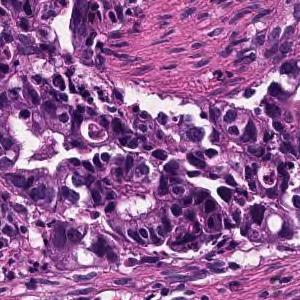
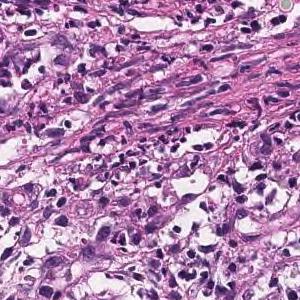
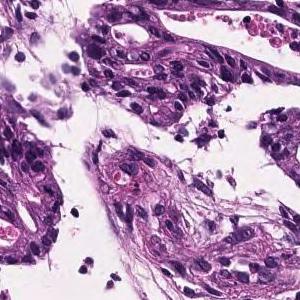
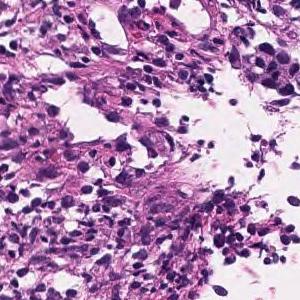
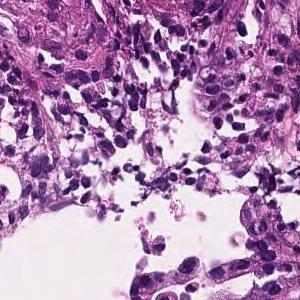
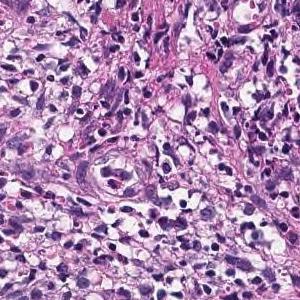
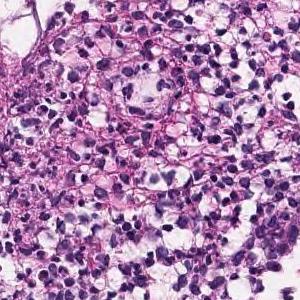
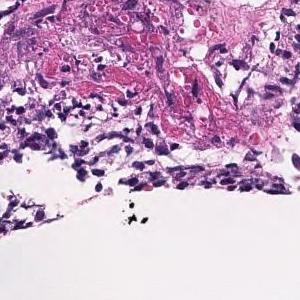
Scanned at ×20 · 8 patches cut from one gastric biopsy slide.
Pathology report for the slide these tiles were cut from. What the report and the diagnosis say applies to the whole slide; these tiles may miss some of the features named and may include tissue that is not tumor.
In the superficial epithelium, medium to small, irregular gland ducts are formed, and in some cases, the gland ducts are fused to show solid alveolar lesions and infiltrating tumor tissue is observed. Moderately to poorly differentiated adenocarcinoma.
